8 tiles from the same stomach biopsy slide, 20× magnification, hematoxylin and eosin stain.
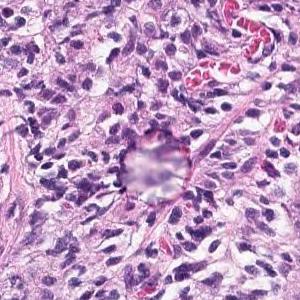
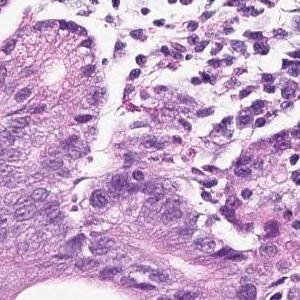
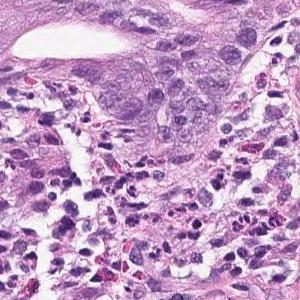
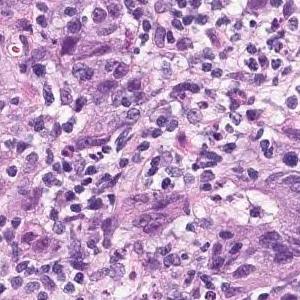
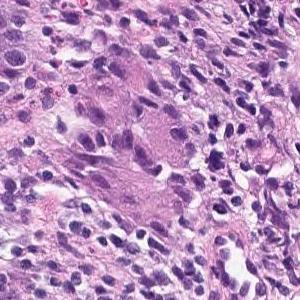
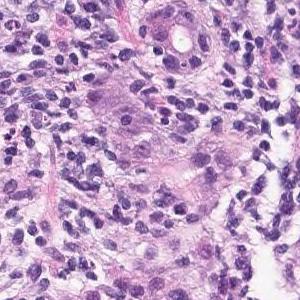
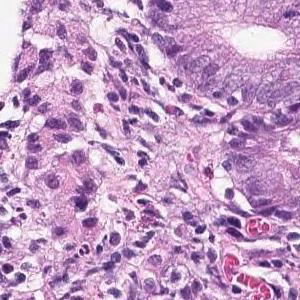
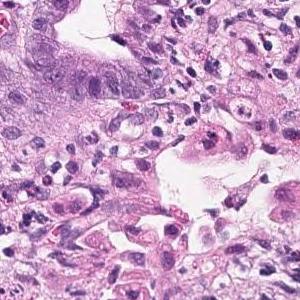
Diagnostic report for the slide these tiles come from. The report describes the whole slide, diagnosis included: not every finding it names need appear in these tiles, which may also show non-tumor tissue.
Medium to small atypical epithelial cells that become cord-like or irregularly agglomerated and infiltrate. Poorly differentiated adenocarcinoma
Tumor subtype: poorly differentiated adenocarcinoma, solid type, a category of the Japanese Classification of Gastric Carcinoma; in the WHO 2019 classification it is tubular adenocarcinoma, poorly differentiated.
